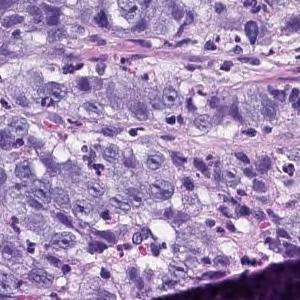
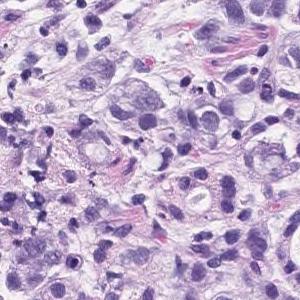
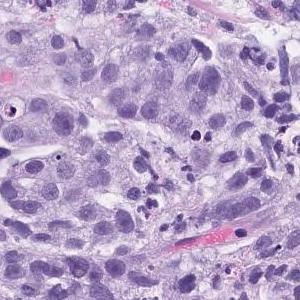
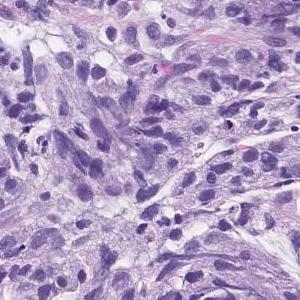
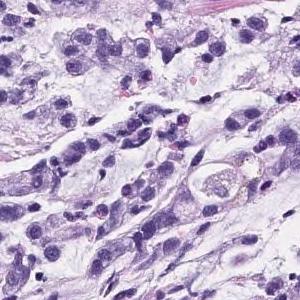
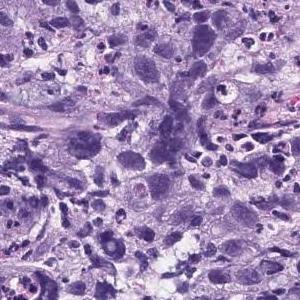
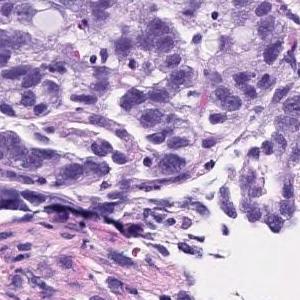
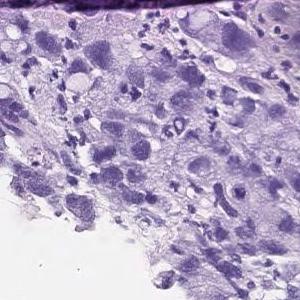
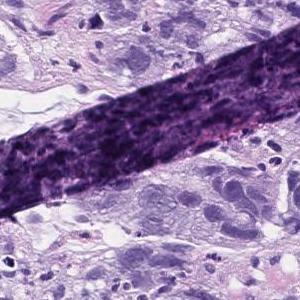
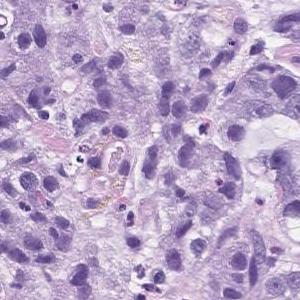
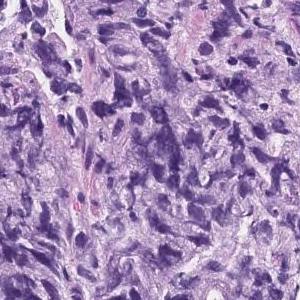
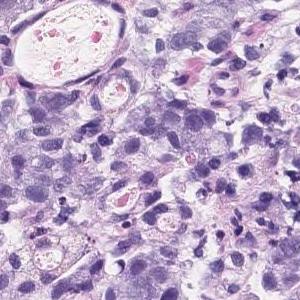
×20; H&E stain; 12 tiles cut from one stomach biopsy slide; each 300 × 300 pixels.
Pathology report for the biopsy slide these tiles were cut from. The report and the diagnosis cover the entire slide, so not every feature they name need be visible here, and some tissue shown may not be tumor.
Atypical l cells with atypical nuclei forming solid vesicles or small irregular atypical ducts that proliferate in a complex manner. poorly differentiated adenocarcinoma, solid type, moderately differentiated tubular adenocarcinoma
The term "solid type" comes from the Japanese Classification of Gastric Carcinoma; the WHO 2019 equivalent is tubular adenocarcinoma, poorly differentiated.
